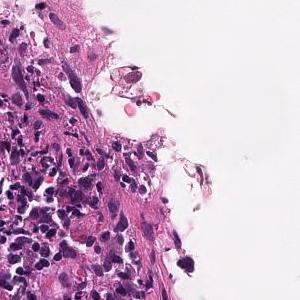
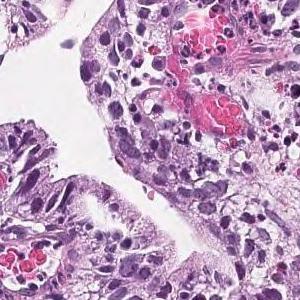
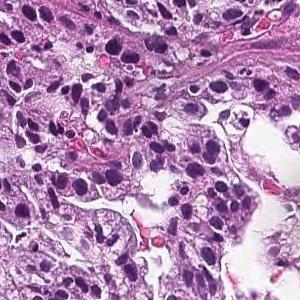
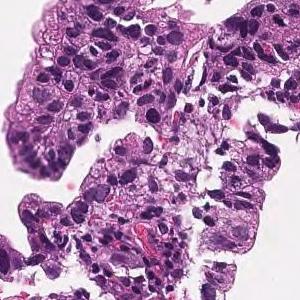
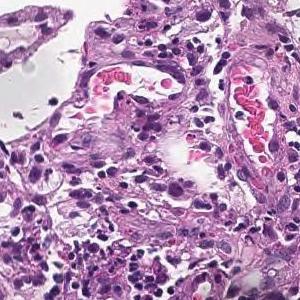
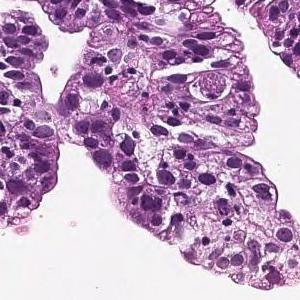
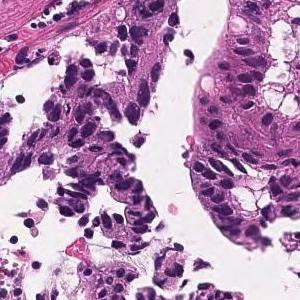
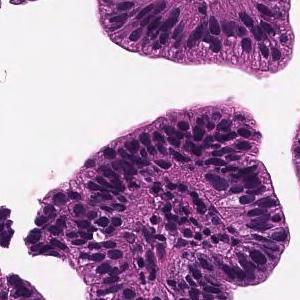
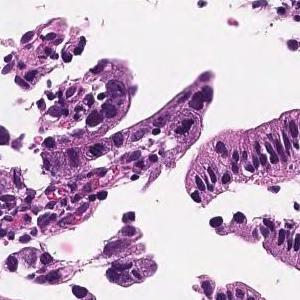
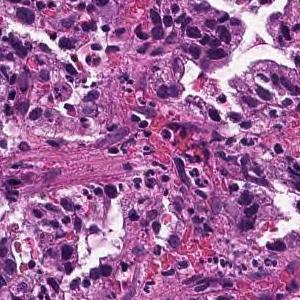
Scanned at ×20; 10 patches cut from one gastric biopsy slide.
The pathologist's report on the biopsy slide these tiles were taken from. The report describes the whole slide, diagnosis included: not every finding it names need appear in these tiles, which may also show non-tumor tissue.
Tumor tissue consisting of medium-sized, cord-like or irregular glandular infiltration is observed in the superficial epithelium. Poorly differentiated adenocarcinoma, non-solid type or moderately differentiated tubular adenocarcinoma
Histologic type: Moderately to poorly differentiated adenocarcinoma.
The non-solid type named here is a Japanese Classification of Gastric Carcinoma category.
